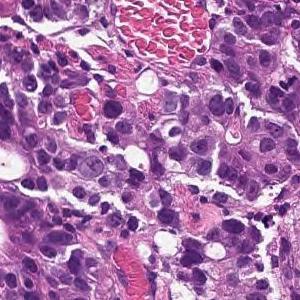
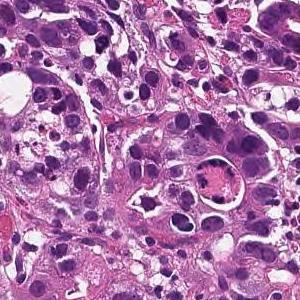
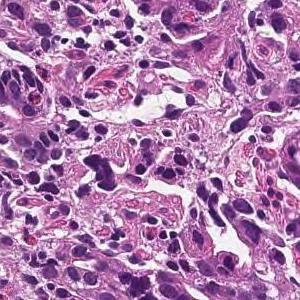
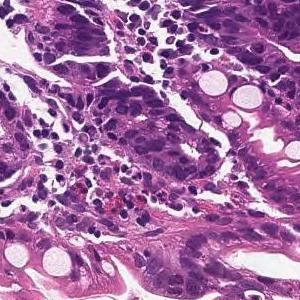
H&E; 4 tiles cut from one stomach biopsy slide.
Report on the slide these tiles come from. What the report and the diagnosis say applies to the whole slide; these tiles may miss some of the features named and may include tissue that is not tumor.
On the superficial epithelium, tumor tissue is found in which medium-sized irregular gland ducts fuse with each other and infiltrate. moderately differentiated tubular adenocarcinoma
